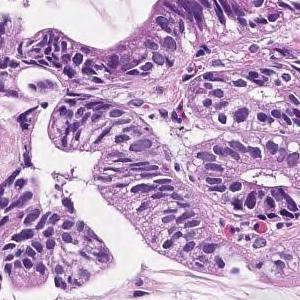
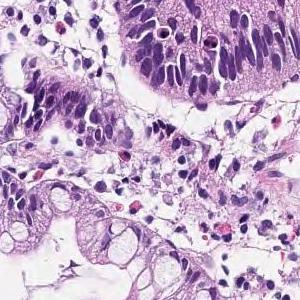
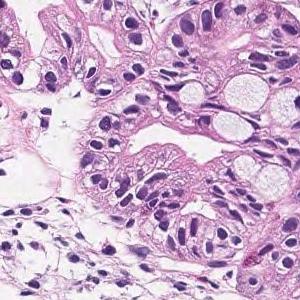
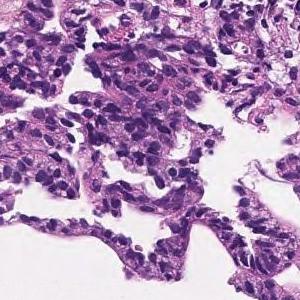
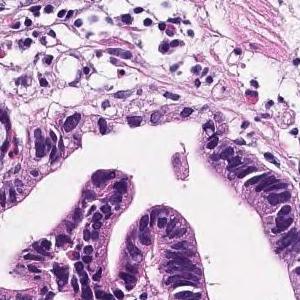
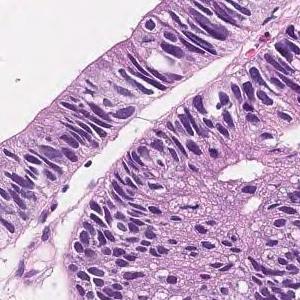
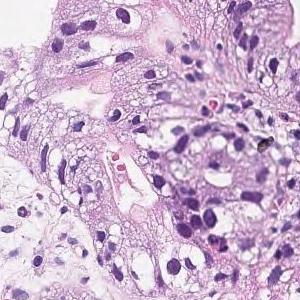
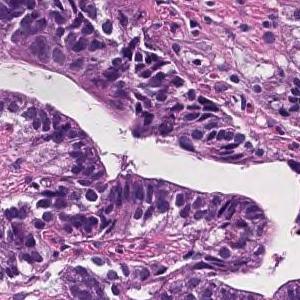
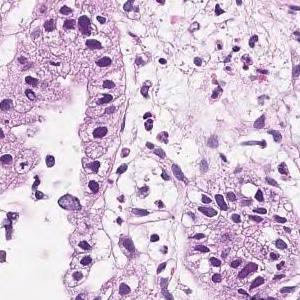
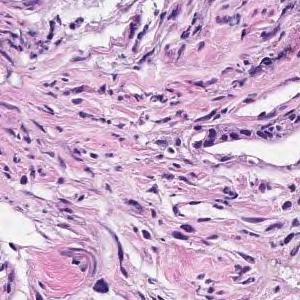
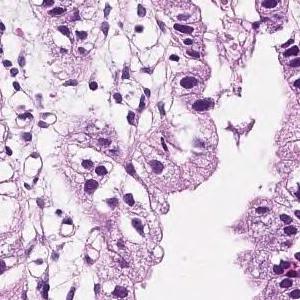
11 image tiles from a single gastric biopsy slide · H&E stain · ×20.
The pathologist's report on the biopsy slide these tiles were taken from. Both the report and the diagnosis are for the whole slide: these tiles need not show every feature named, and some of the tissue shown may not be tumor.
In the superficial epithelium, tumor tissue that invades by forming medium-sized to small, irregular ducts is observed. Moderately differentiated adenocarcinoma.
Histologic type: Moderately differentiated tubular adenocarcinoma.
